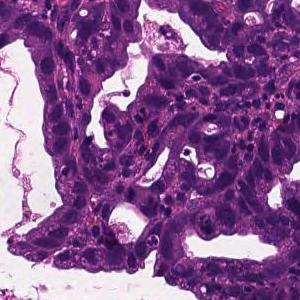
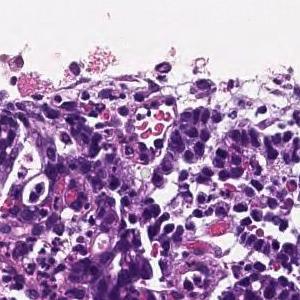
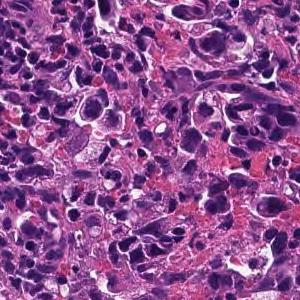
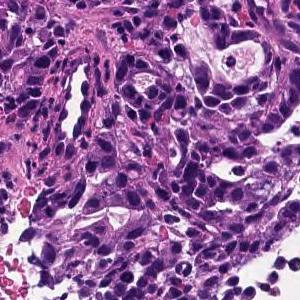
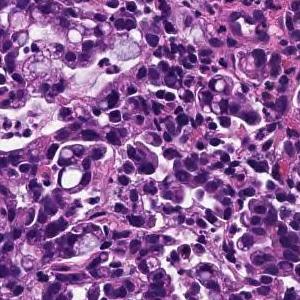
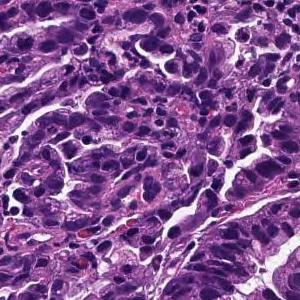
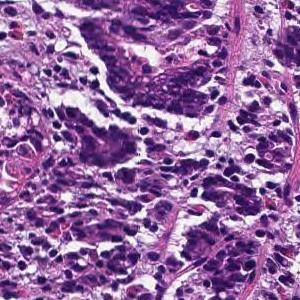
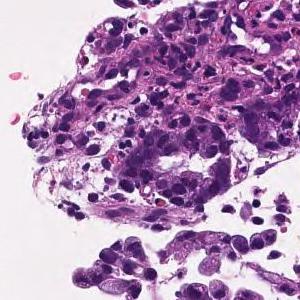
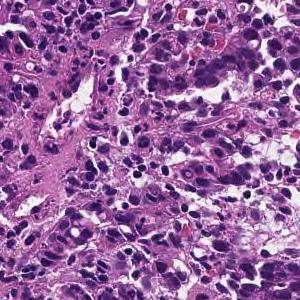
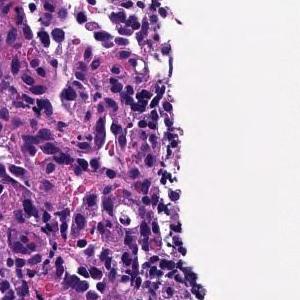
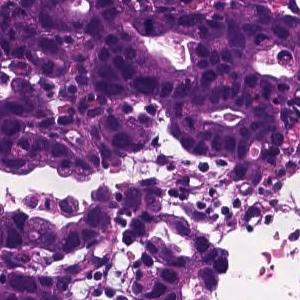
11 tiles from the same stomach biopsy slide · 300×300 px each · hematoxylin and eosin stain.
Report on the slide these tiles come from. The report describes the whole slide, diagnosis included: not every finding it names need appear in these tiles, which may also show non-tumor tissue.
In the superficial epithelium, tumor tissue that invades by forming medium-sized to small, irregular ducts is observed. moderately differentiated tubular adenocarcinoma.
